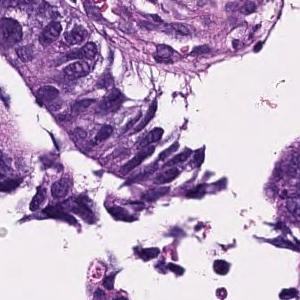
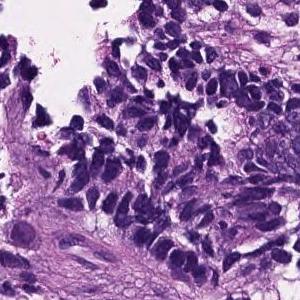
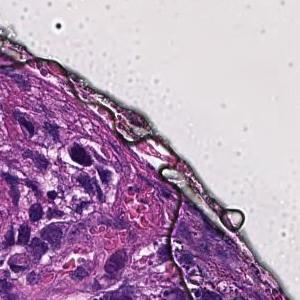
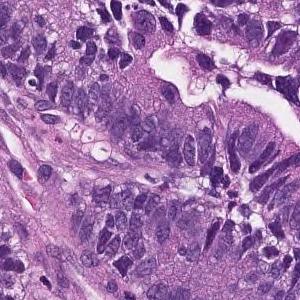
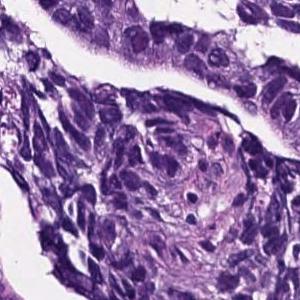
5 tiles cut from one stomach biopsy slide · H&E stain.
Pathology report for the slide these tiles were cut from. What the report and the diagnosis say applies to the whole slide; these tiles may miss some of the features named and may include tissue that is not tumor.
In the superficial epithelium, tumor tissue that invades by forming medium-sized to small, irregular ducts is observed. moderately differentiated tubular adenocarcinoma.
